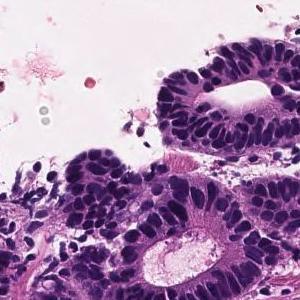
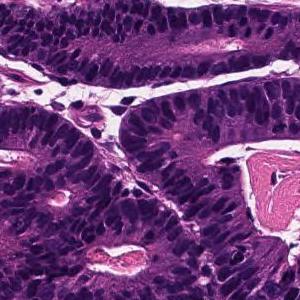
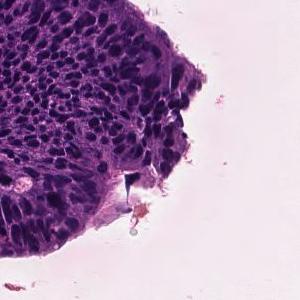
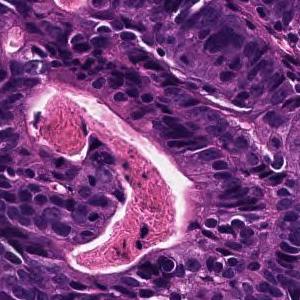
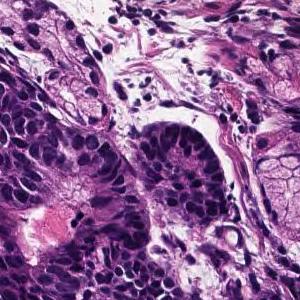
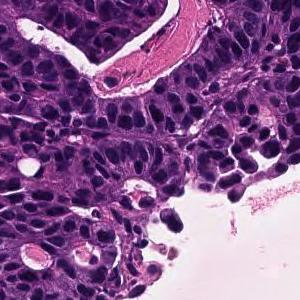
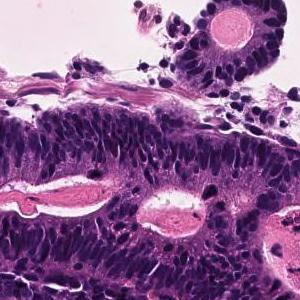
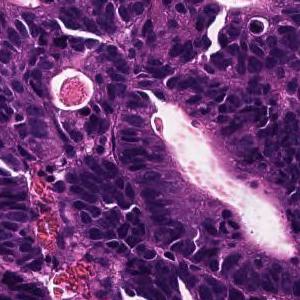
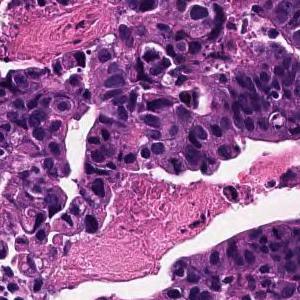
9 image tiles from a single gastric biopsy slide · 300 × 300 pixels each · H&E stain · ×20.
Pathology report for the biopsy slide these tiles were cut from. The report and the diagnosis describe the slide as a whole, so these tiles may not show every feature named and may include non-tumor tissue.
In the superficial epithelium, tumor tissue that invades by forming medium-sized to small, irregular ducts is observed. moderately differentiated tubular adenocarcinoma.
